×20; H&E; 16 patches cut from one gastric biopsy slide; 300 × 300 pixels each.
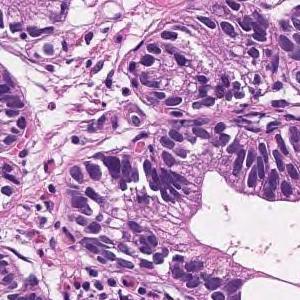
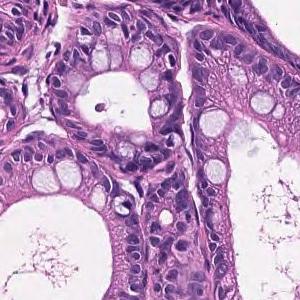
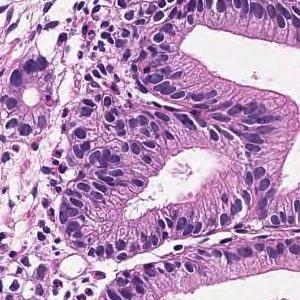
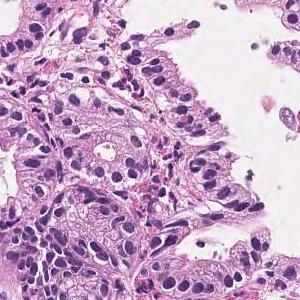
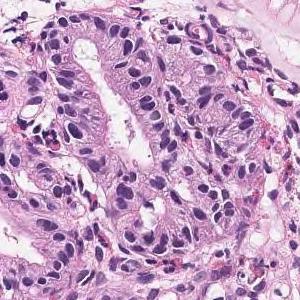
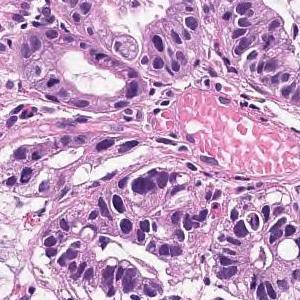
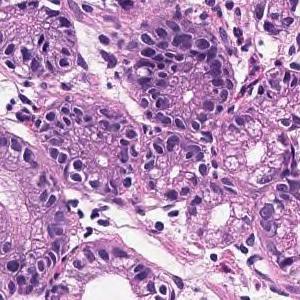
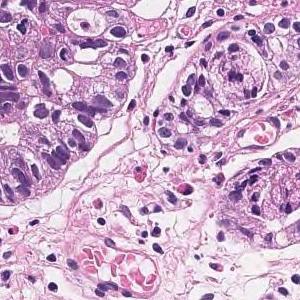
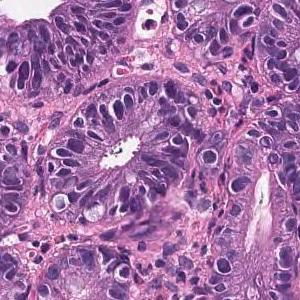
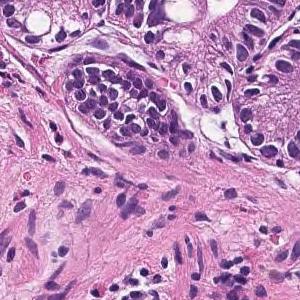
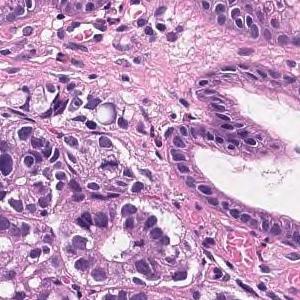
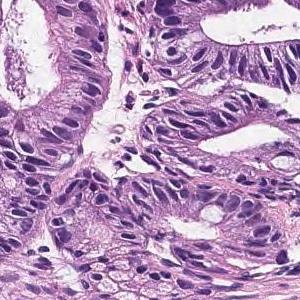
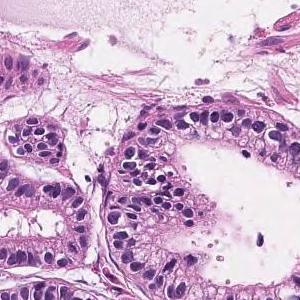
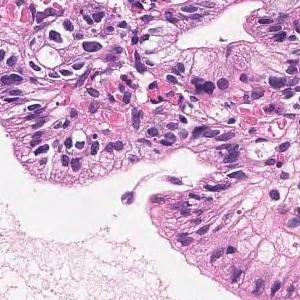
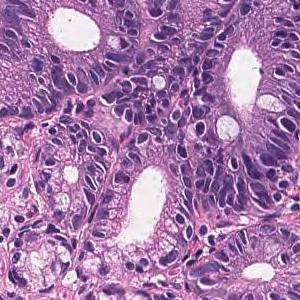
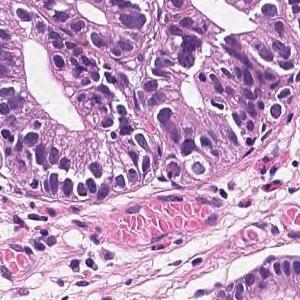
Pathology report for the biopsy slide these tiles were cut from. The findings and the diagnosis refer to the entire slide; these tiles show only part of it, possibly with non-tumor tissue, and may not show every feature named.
In the superficial epithelium, tumor tissue that invades by forming medium-sized to small, irregular ducts is observed. Well differentiated tubular adenocarcinoma.
